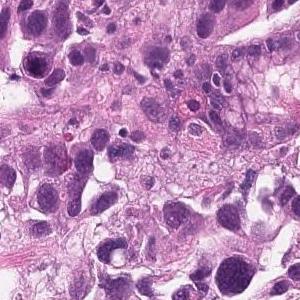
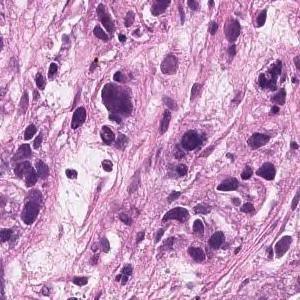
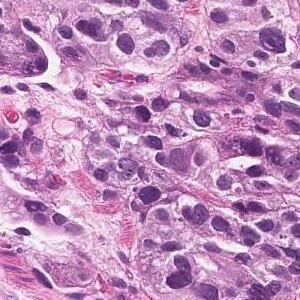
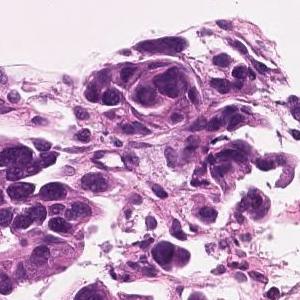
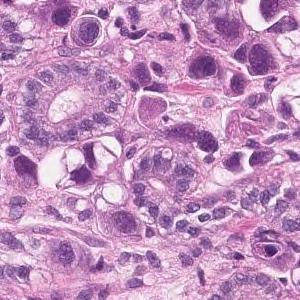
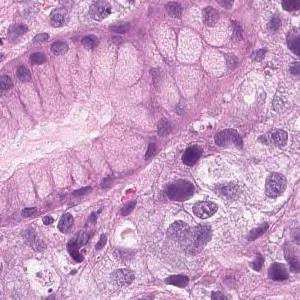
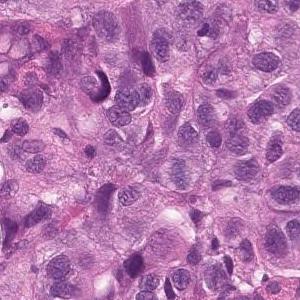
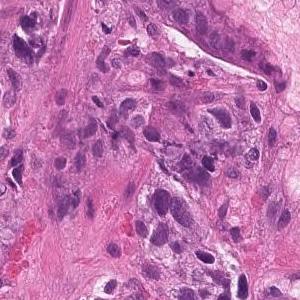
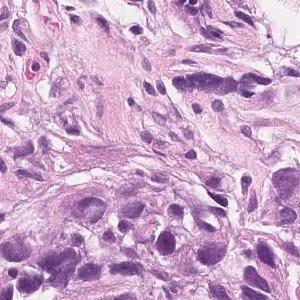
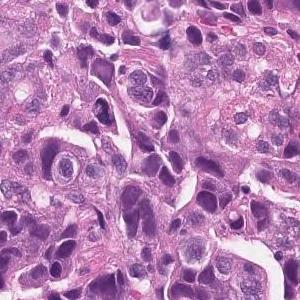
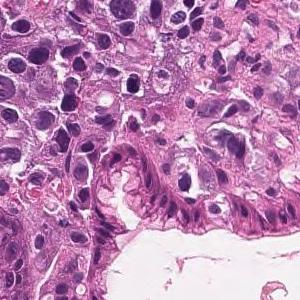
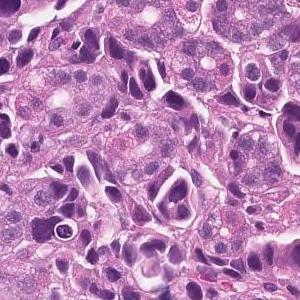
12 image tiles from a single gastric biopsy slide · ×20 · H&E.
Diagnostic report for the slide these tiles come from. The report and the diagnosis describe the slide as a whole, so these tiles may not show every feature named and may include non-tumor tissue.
Tumor tissue that infiltrates the epithelium in an alveolar manner. Poorly differentiated adenocarcinoma, solid-type
Histologic type: Poorly differentiated adenocarcinoma, solid type (Japanese Classification of Gastric Carcinoma). The WHO 2019 equivalent is tubular adenocarcinoma, poorly differentiated.
